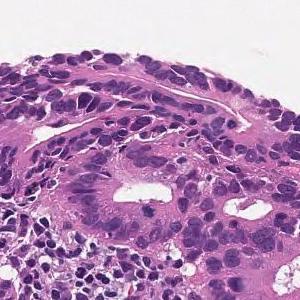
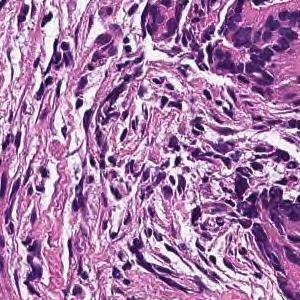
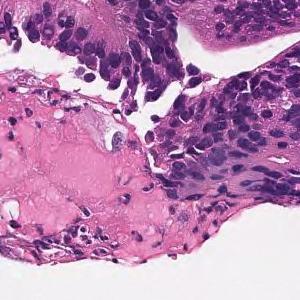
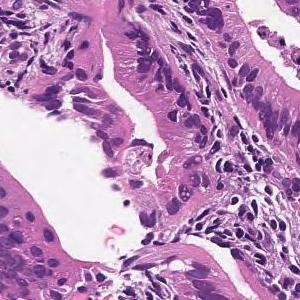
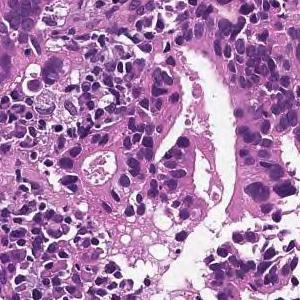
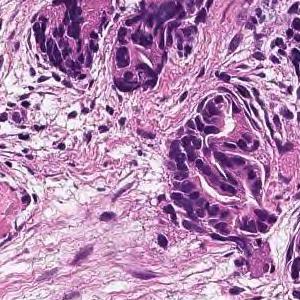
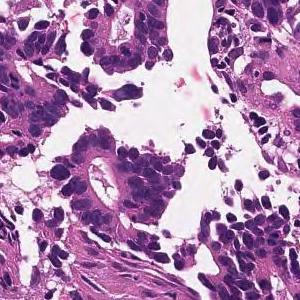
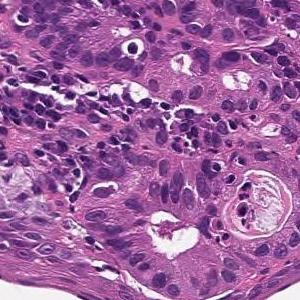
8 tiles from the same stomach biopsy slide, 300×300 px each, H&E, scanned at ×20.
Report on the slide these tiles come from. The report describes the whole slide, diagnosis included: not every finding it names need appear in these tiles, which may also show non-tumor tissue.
From the superficial epithelium to the muscularis mucosae, tumor tissue consisting of medium-sized and irregular glandular ducts infiltrating is observed. Well differentiated tubular adenocarcinoma
